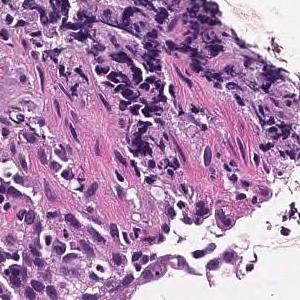
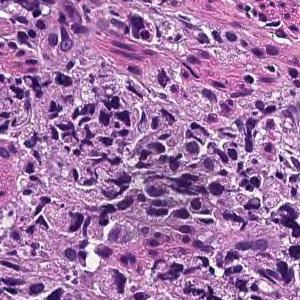
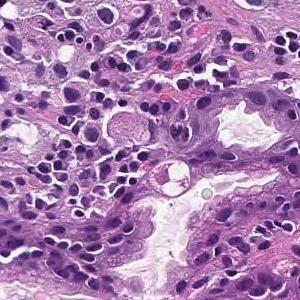
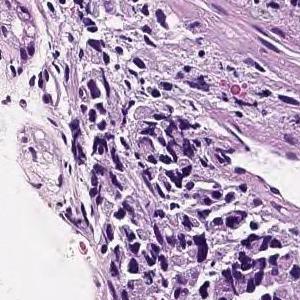
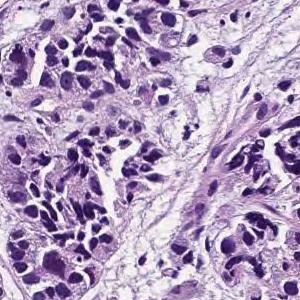
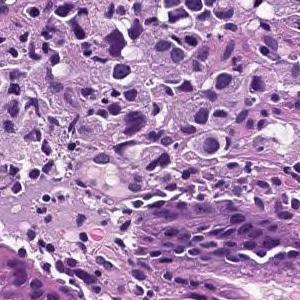
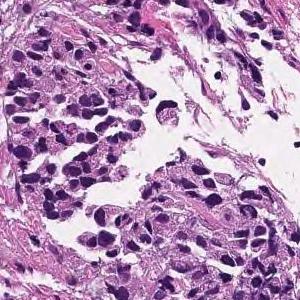
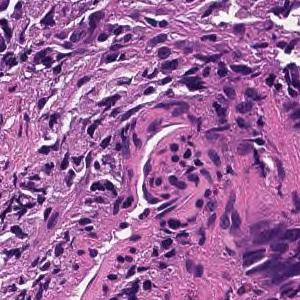
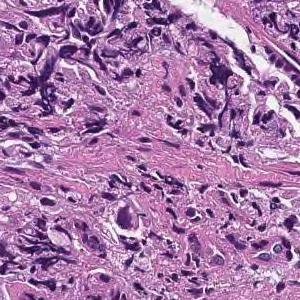
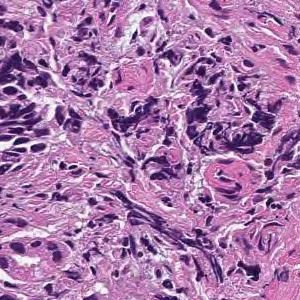
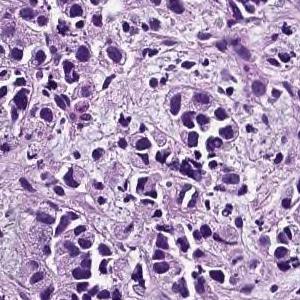
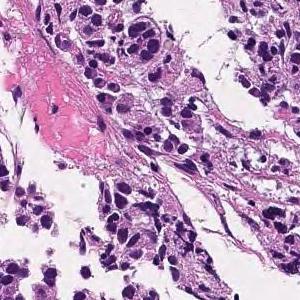
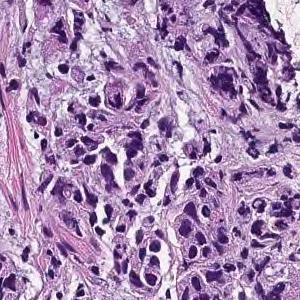
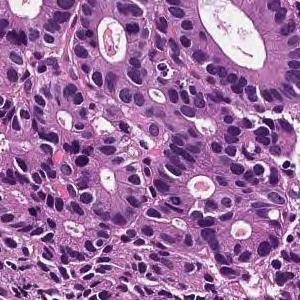
14 tiles cut from one stomach biopsy slide, 300×300 px each, H&E, scanned at ×20.
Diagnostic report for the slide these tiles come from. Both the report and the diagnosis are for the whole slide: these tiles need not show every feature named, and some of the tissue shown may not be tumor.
The lamina propria shows small cord-like tumor tissue that infiltrates with fibrosis and marked chronic inflammatory cell infiltration. Poorly differentiated adenocarcinoma, non-solid type
"Non-solid type" is a category of the Japanese Classification of Gastric Carcinoma.
